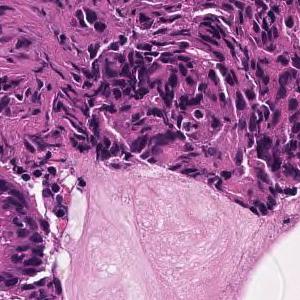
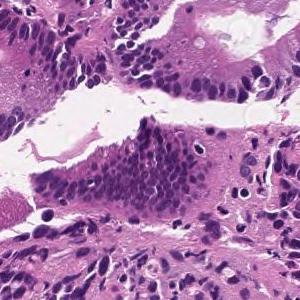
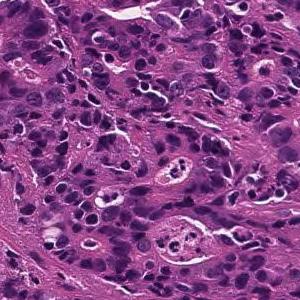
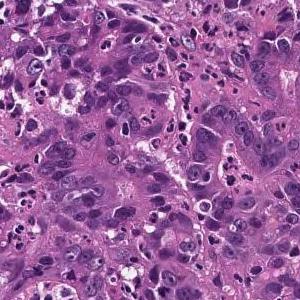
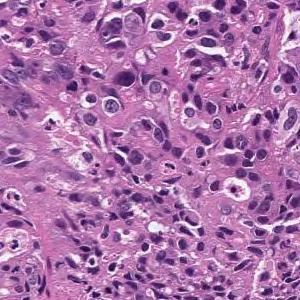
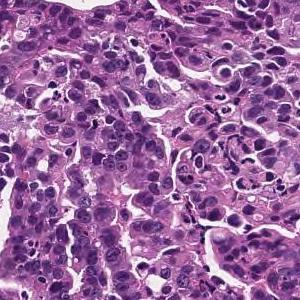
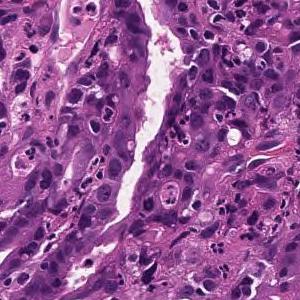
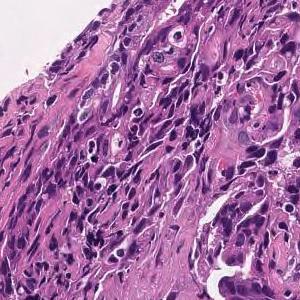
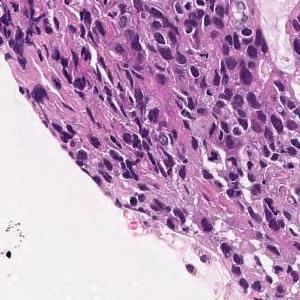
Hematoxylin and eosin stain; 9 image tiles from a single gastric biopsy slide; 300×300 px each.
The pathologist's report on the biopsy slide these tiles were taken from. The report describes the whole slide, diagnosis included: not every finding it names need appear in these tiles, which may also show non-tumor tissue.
In the superficial epithelium, tumor tissue that invades by forming medium-sized to small, irregular ducts is observed. moderately differentiated tubular adenocarcinoma.
